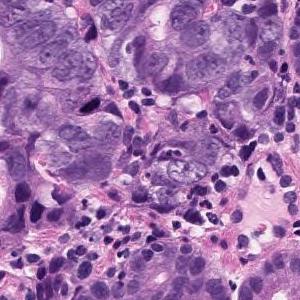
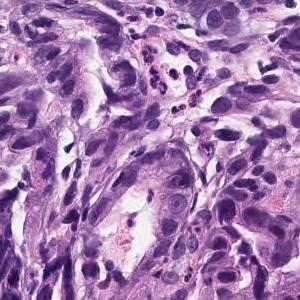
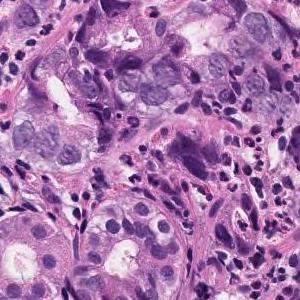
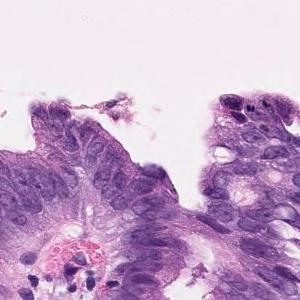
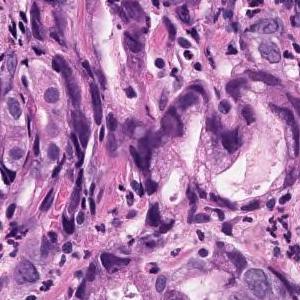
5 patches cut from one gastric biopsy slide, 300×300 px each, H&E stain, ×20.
Pathology report for the biopsy slide these tiles were cut from. The findings and the diagnosis refer to the entire slide; these tiles show only part of it, possibly with non-tumor tissue, and may not show every feature named.
The swollen atypical epithelium of the nucleus forms an irregular ductal structure and proliferates. moderately differentiated tubular adenocarcinoma
